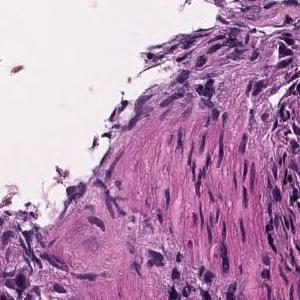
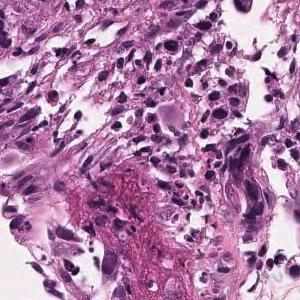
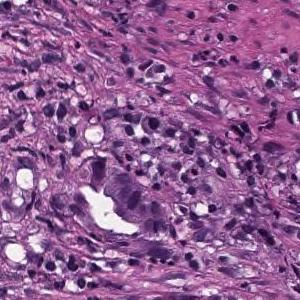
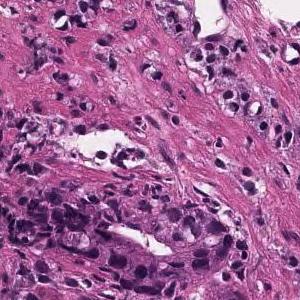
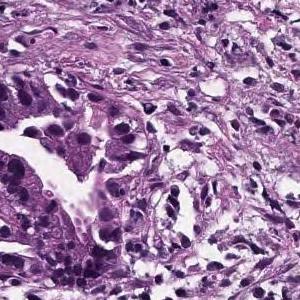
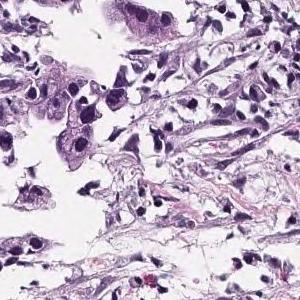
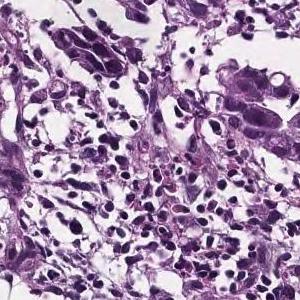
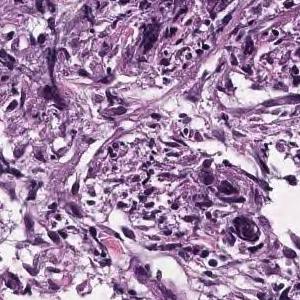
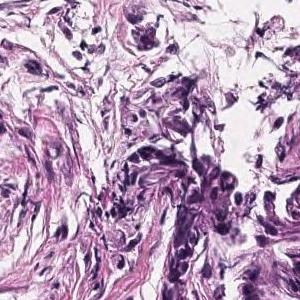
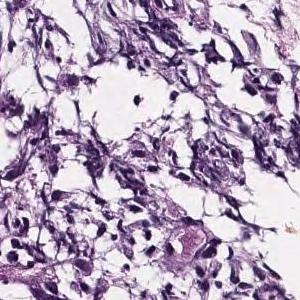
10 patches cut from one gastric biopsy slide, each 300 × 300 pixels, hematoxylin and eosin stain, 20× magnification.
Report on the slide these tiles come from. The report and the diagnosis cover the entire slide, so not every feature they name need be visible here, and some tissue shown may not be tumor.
In the superficial epithelium, tumor tissue that invades by forming medium-sized to small, irregular ducts is observed. moderately differentiated tubular adenocarcinoma.
